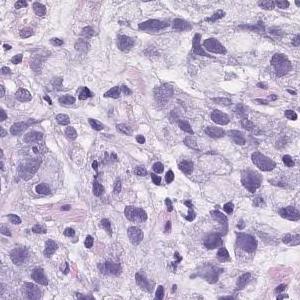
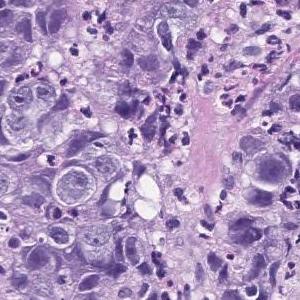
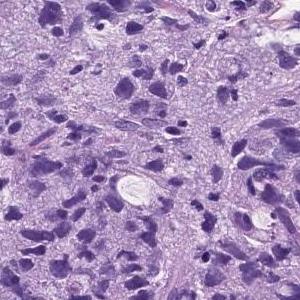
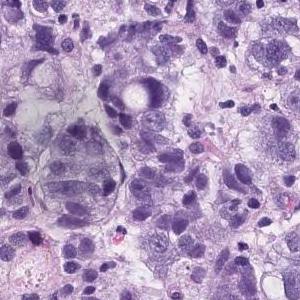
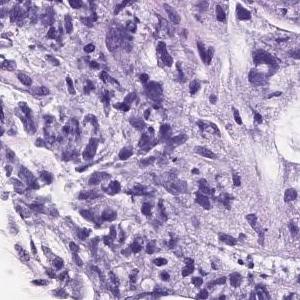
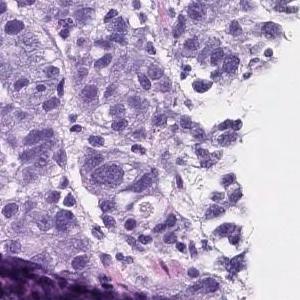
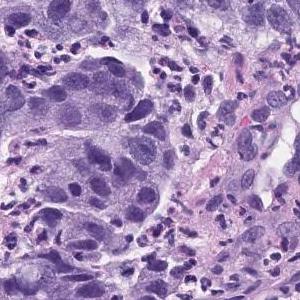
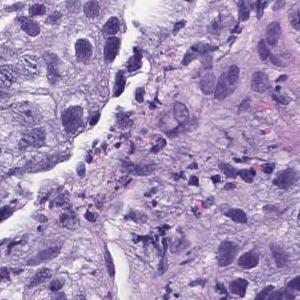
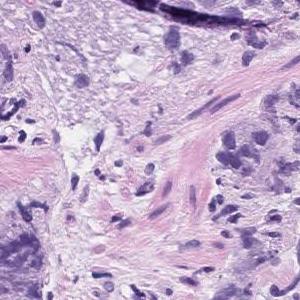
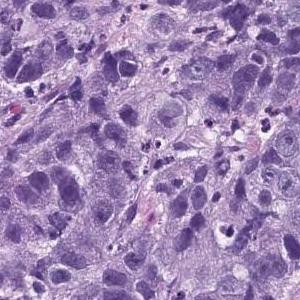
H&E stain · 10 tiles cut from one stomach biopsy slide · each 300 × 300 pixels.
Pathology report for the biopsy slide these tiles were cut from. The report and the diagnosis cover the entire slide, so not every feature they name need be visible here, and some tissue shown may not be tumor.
Atypical l cells with atypical nuclei forming solid vesicles or small irregular atypical ducts that proliferate in a complex manner. poorly differentiated adenocarcinoma, solid type, moderately differentiated tubular adenocarcinoma
"Solid type" is a category of the Japanese Classification of Gastric Carcinoma; in the WHO 2019 classification it is tubular adenocarcinoma, poorly differentiated.
